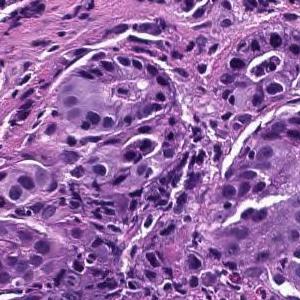
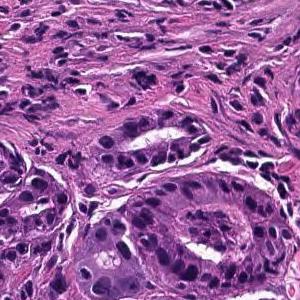
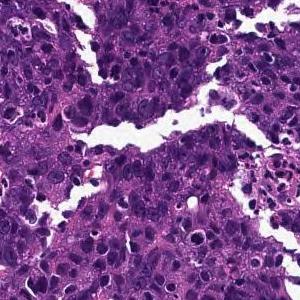
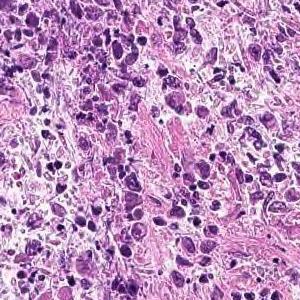
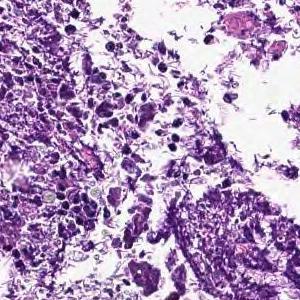
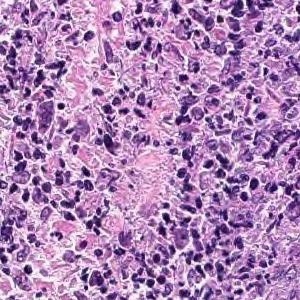
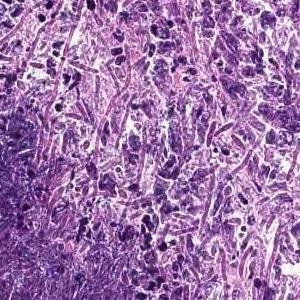
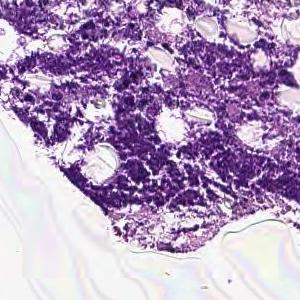
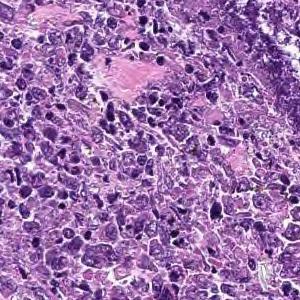
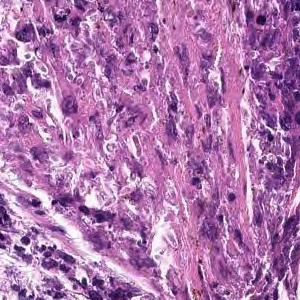
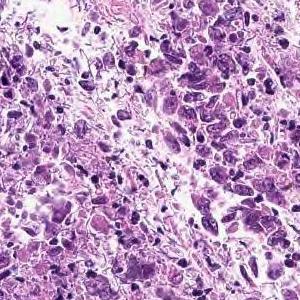
20× magnification, hematoxylin and eosin stain, 11 tiles cut from one stomach biopsy slide, 300×300 px each.
The pathologist's report on the biopsy slide these tiles were taken from. The report describes the whole slide, diagnosis included: not every finding it names need appear in these tiles, which may also show non-tumor tissue.
Cancers with polygonal nuclei do not show glandular formation and are densely, in part, cord-like and proliferate. Poorly differentiated adenocarcinoma
Histologic type: Poorly differentiated adenocarcinoma, non-solid type.
The non-solid type named here is a Japanese Classification of Gastric Carcinoma category.
